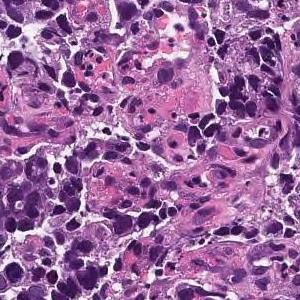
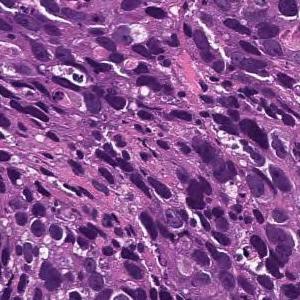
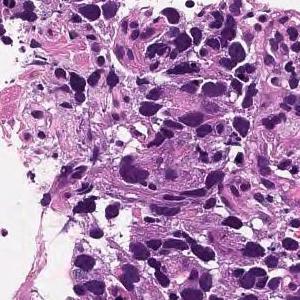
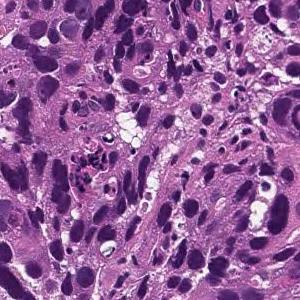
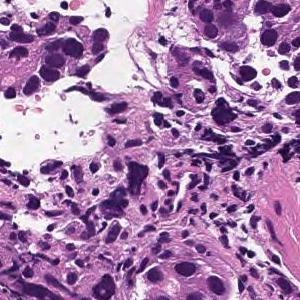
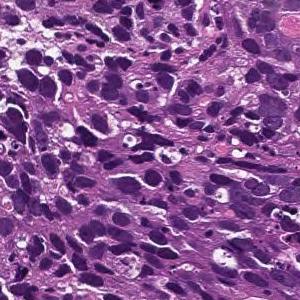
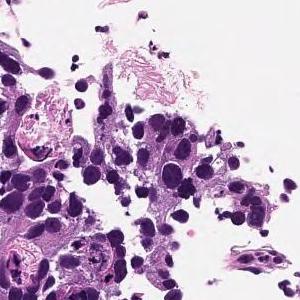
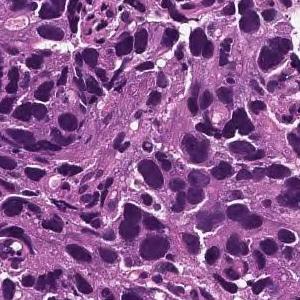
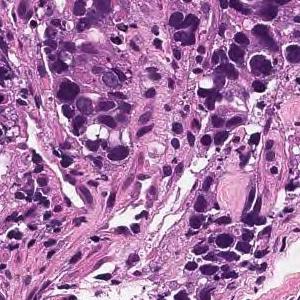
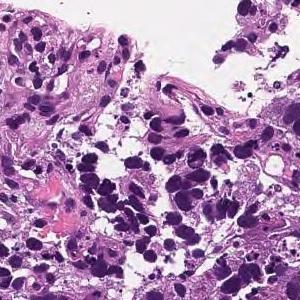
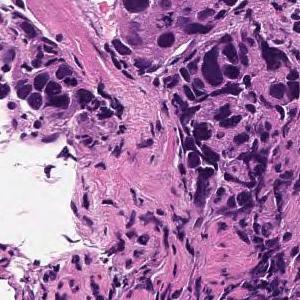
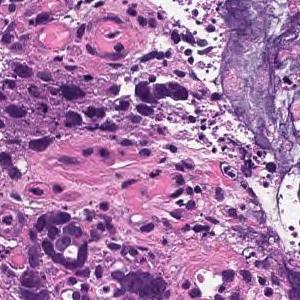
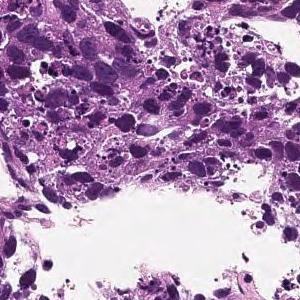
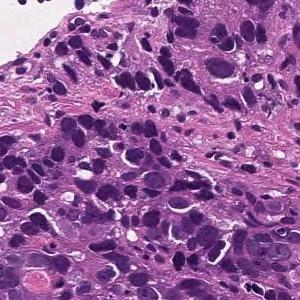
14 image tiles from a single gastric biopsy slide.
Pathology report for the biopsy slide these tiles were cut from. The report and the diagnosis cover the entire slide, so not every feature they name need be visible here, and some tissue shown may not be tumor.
Tumor cells are medium-sized polygonal with no extracellular mucus production or duct formation. Poorly differentiated adenocarcinoma, solid-type
Histological subtype: Poorly differentiated adenocarcinoma, solid type, a category of the Japanese Classification of Gastric Carcinoma; in the WHO 2019 classification it is tubular adenocarcinoma, poorly differentiated.
